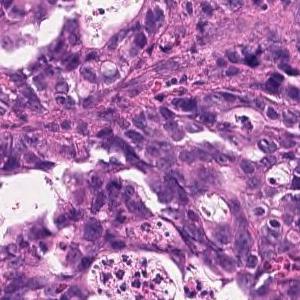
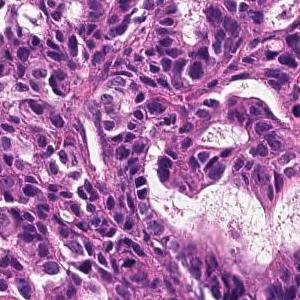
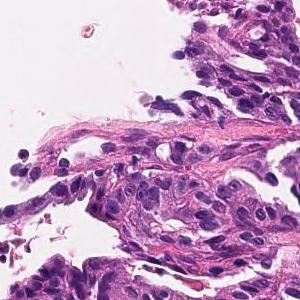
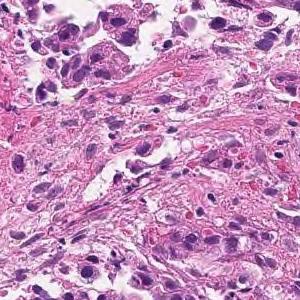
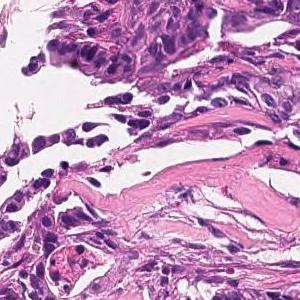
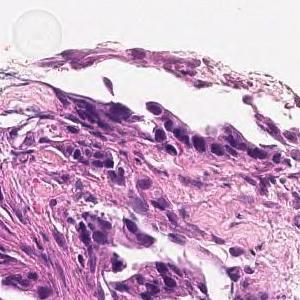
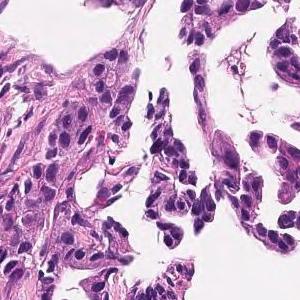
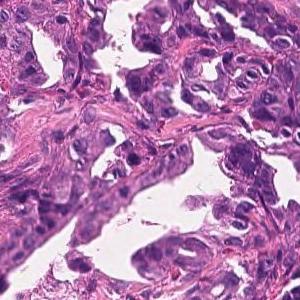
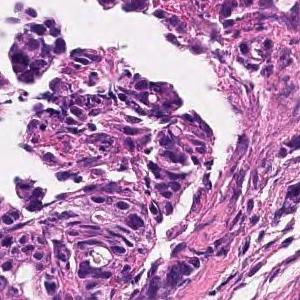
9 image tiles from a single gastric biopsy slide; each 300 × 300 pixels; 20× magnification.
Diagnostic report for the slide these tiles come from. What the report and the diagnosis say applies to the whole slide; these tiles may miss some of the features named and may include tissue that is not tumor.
On the superficial epithelium, tumor tissue consisting of images of small to medium-sized and irregular tubules infiltrating with irregular fusion is observed. moderately differentiated tubular adenocarcinoma
